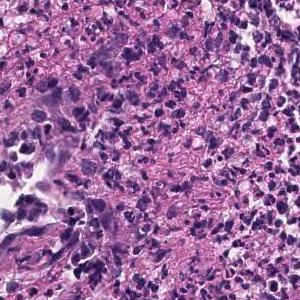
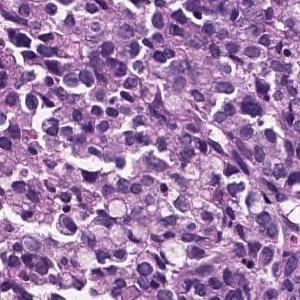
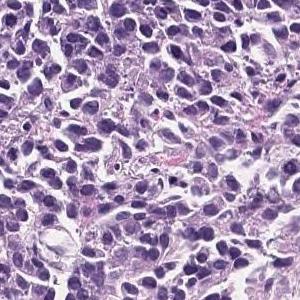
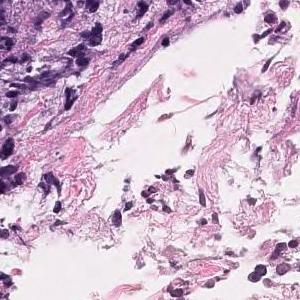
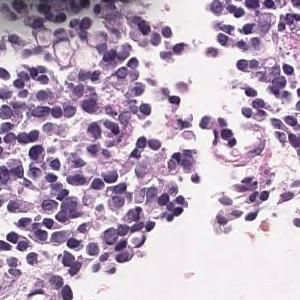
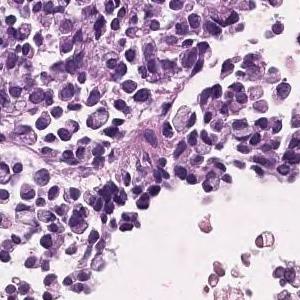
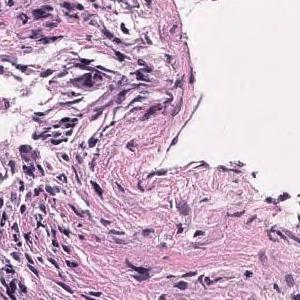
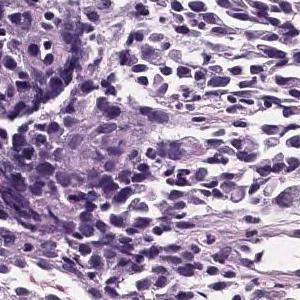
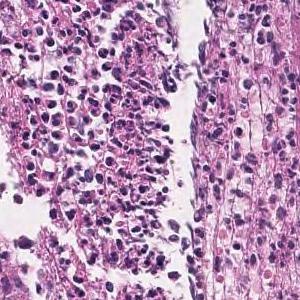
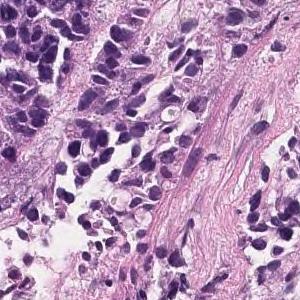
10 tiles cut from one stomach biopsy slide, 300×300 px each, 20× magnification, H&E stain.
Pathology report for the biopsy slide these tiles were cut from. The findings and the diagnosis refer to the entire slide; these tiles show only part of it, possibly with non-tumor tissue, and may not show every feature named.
The superficial epithelium shows a large sheet-like shape, and some tumor tissue infiltrates with small irregular ducts. Poorly differentiated adenocarcinoma, solid-type
Tumor subtype: poorly differentiated adenocarcinoma, solid type. This name comes from the Japanese Classification of Gastric Carcinoma; the WHO 2019 classification calls it tubular adenocarcinoma, poorly differentiated.
